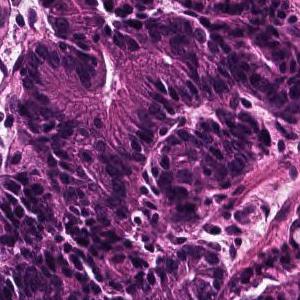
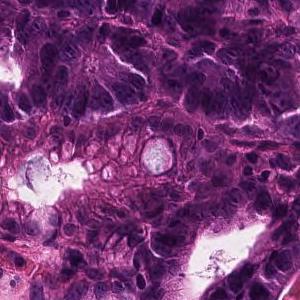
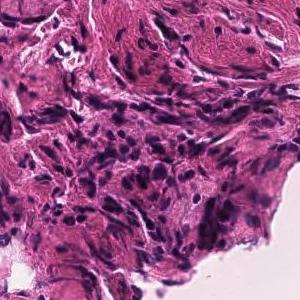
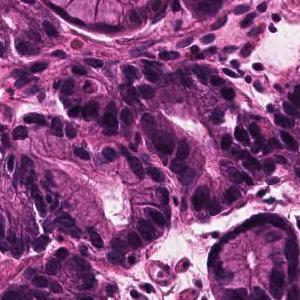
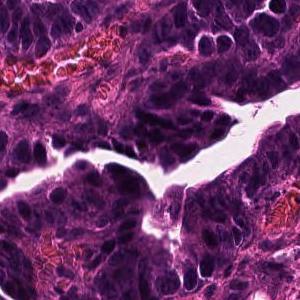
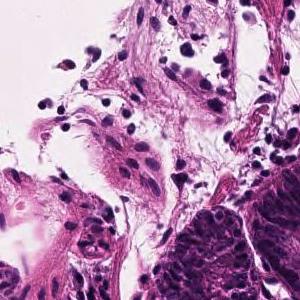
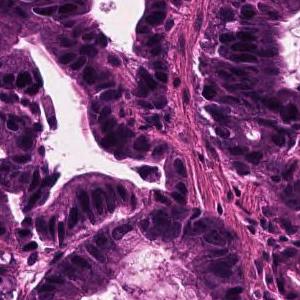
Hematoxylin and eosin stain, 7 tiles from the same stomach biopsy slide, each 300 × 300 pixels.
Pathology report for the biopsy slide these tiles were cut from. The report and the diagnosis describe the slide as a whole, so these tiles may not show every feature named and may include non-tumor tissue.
In the superficial epithelium, tumor tissue that invades by forming medium-sized to small, irregular ducts is observed. Well differentiated tubular adenocarcinoma.
